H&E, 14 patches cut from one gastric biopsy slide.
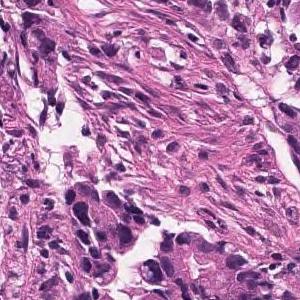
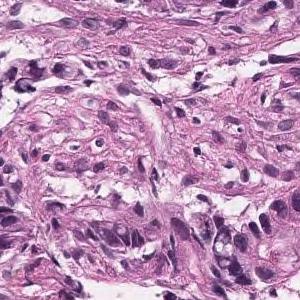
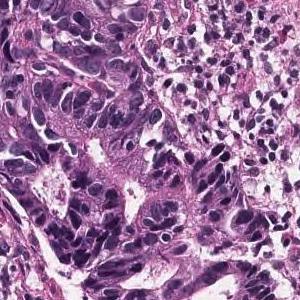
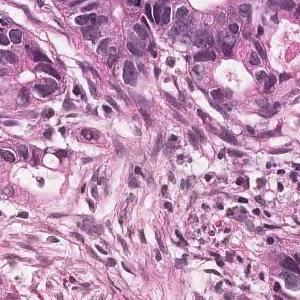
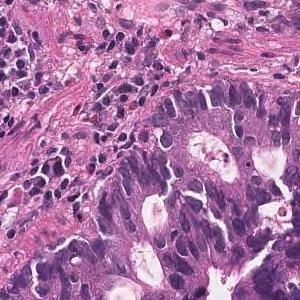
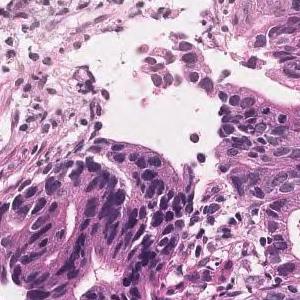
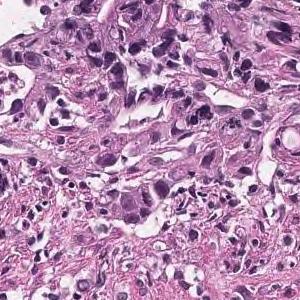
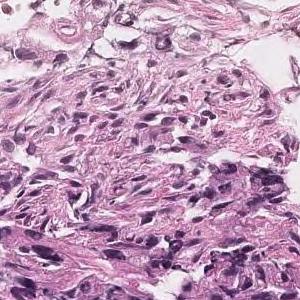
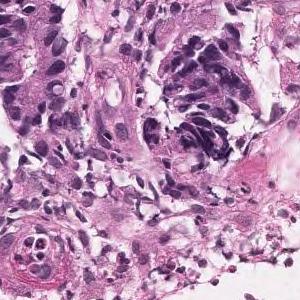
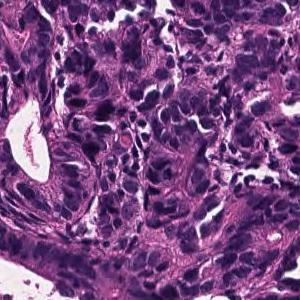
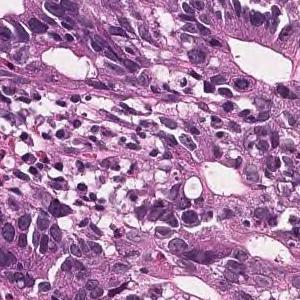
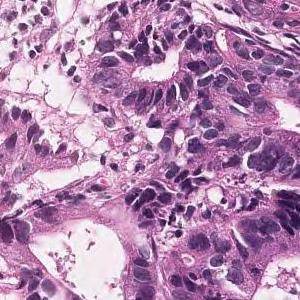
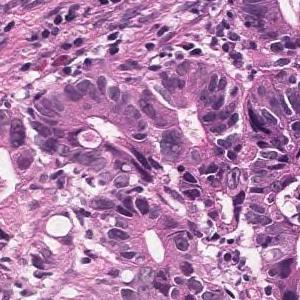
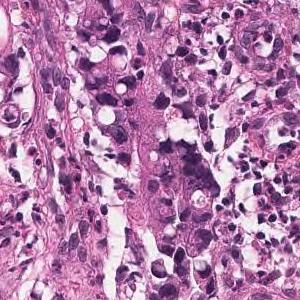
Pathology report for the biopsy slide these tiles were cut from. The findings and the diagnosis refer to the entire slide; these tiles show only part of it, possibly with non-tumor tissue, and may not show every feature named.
In the superficial epithelium, tumor tissue is found in which medium-sized irregular gland ducts fuse with each other and infiltrate. moderately differentiated tubular adenocarcinoma
